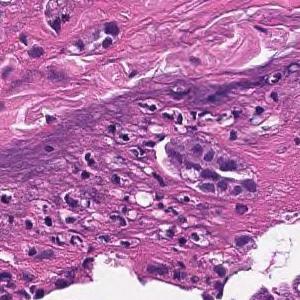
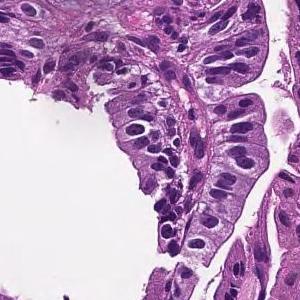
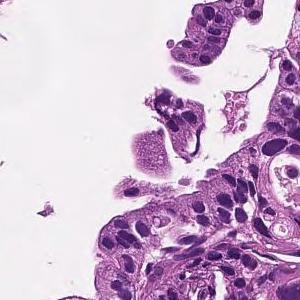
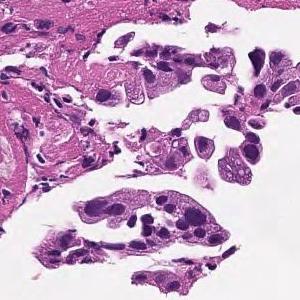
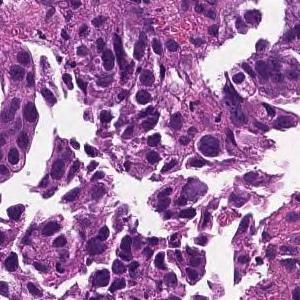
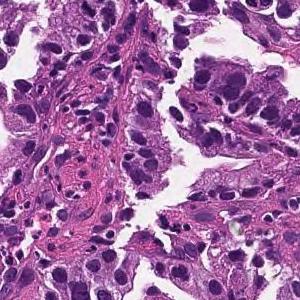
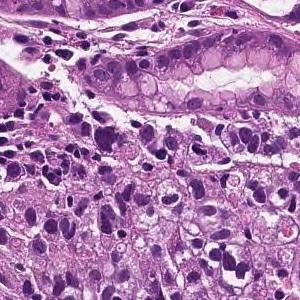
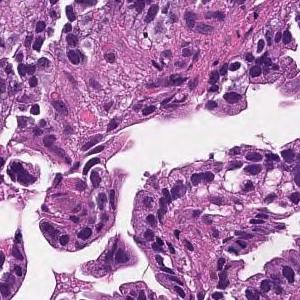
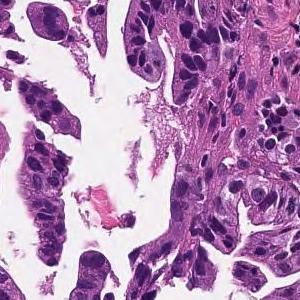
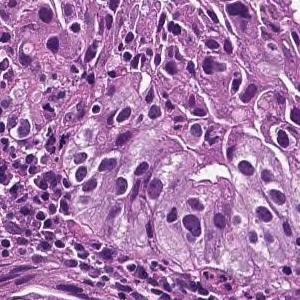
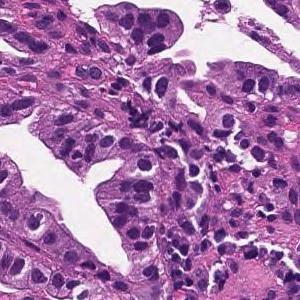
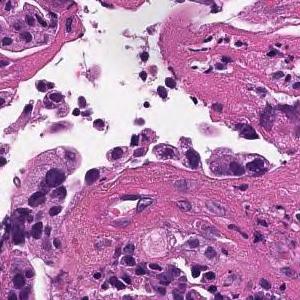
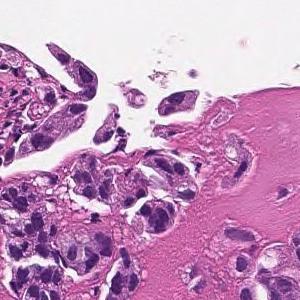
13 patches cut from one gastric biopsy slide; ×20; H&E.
Diagnostic report for the slide these tiles come from. What the report and the diagnosis say applies to the whole slide; these tiles may miss some of the features named and may include tissue that is not tumor.
Medium to small, irregular glandular ducts are formed in the superficial epithelium, and in some cases, the glandular ducts are fused to show solid alveolar lesions and infiltrating tumor tissue is observed. Moderately to poorly differentiated adenocarcinoma.
